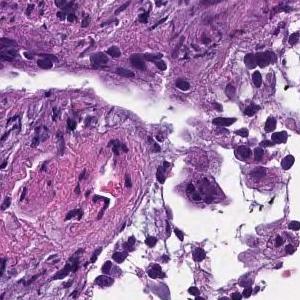
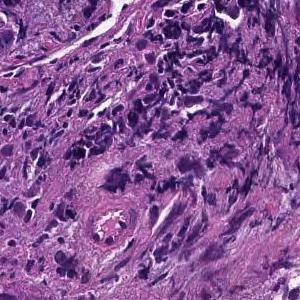
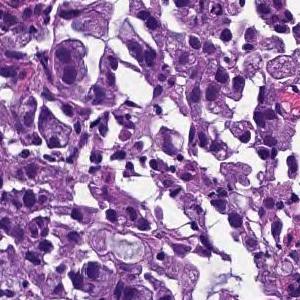
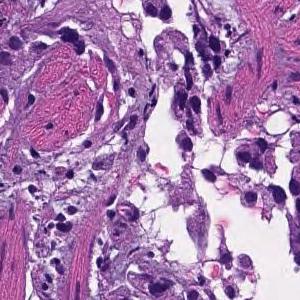
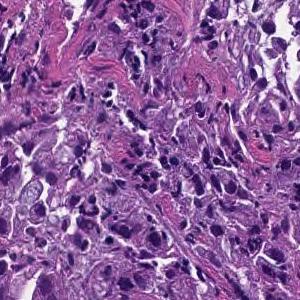
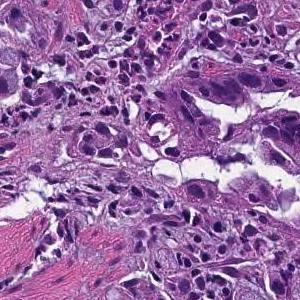
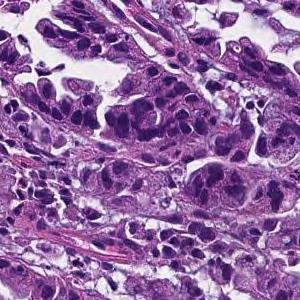
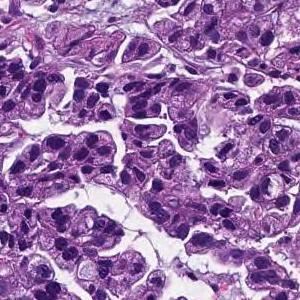
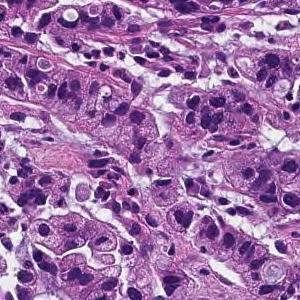
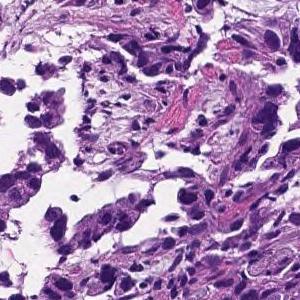
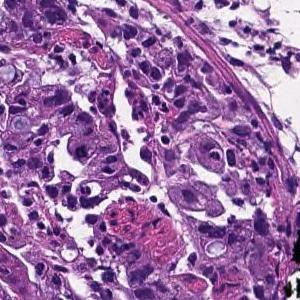
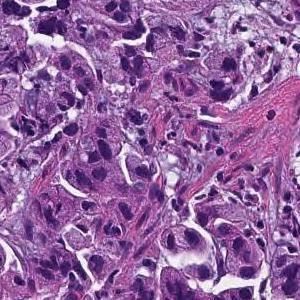
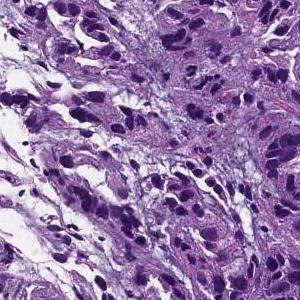
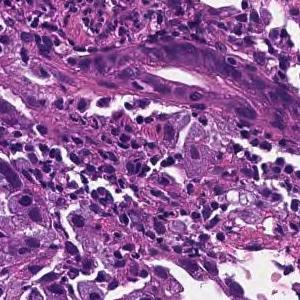
Scanned at ×20; H&E stain; 14 patches cut from one gastric biopsy slide.
The pathologist's report on the biopsy slide these tiles were taken from. The report and the diagnosis cover the entire slide, so not every feature they name need be visible here, and some tissue shown may not be tumor.
Tumor tissue consisting of medium-sized, cord-like or irregular glandular infiltration is observed in the superficial epithelium. Poorly differentiated adenocarcinoma, non-solid type or moderately differentiated tubular adenocarcinoma
Histologic type: Moderately to poorly differentiated adenocarcinoma.
"Non-solid type" is a category of the Japanese Classification of Gastric Carcinoma.
